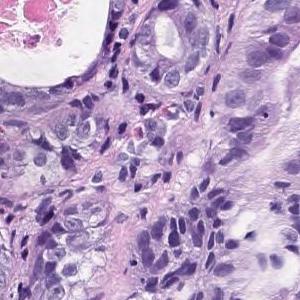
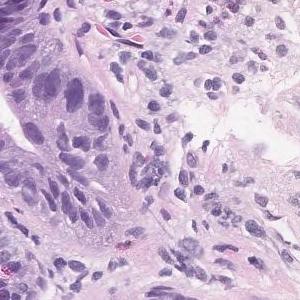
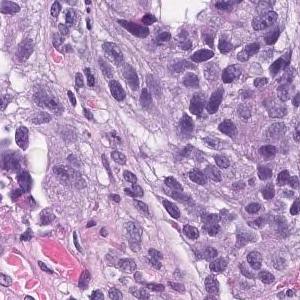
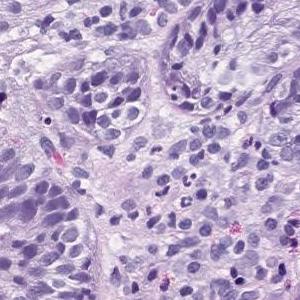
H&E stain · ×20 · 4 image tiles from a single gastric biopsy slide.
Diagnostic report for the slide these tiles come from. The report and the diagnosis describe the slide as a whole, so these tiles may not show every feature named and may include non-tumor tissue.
On the superficial epithelium, tumor tissue consisting of medium to small irregular tubules partially fused and proliferated is observed. moderately differentiated tubular adenocarcinoma
